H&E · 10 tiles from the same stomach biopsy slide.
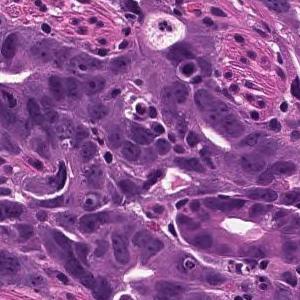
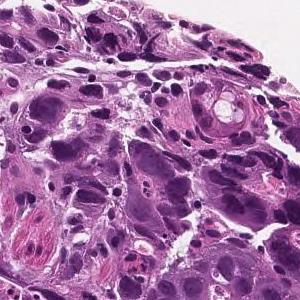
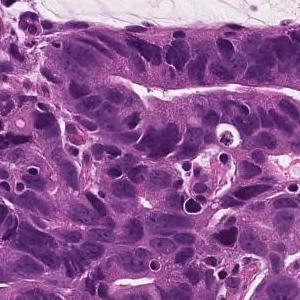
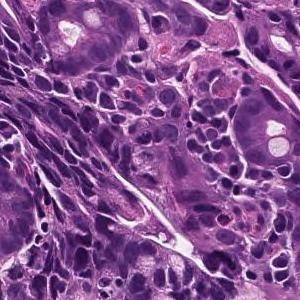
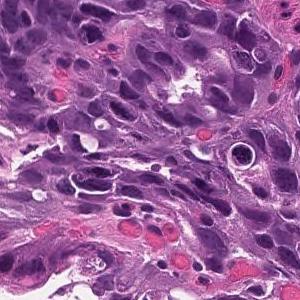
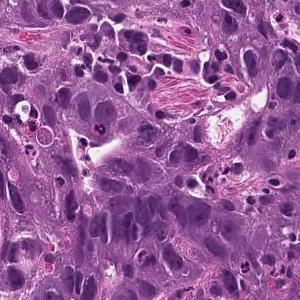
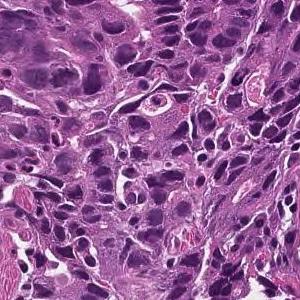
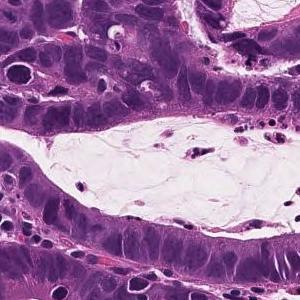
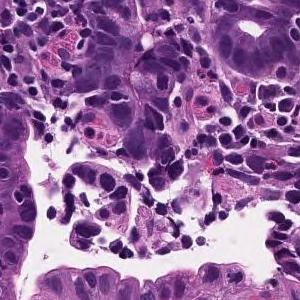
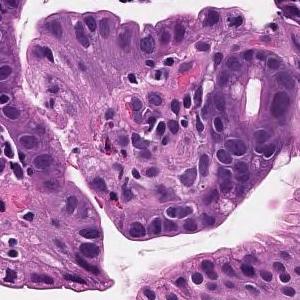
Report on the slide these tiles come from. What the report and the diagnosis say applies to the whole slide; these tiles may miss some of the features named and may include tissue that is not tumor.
On the superficial epithelium, tumor tissue is found in which medium-sized irregular gland ducts fuse with each other and infiltrate. moderately differentiated tubular adenocarcinoma
